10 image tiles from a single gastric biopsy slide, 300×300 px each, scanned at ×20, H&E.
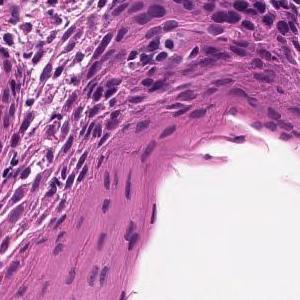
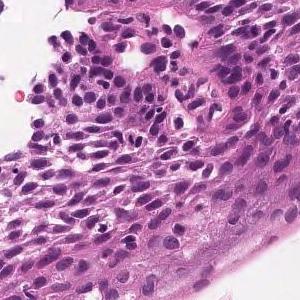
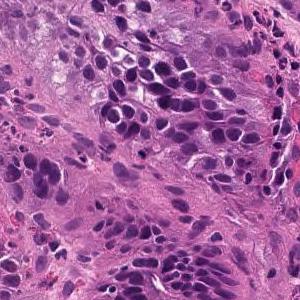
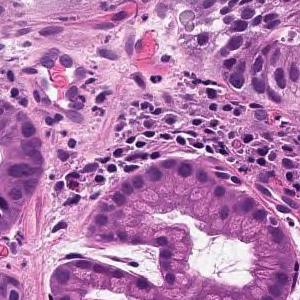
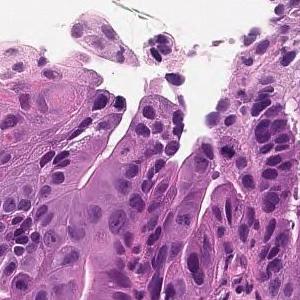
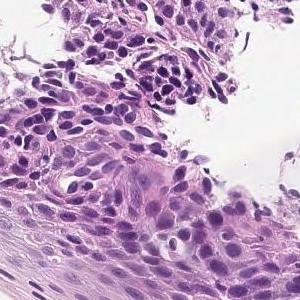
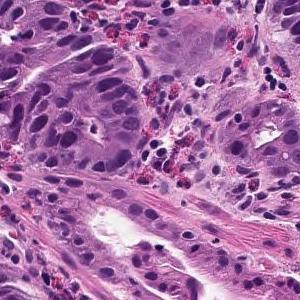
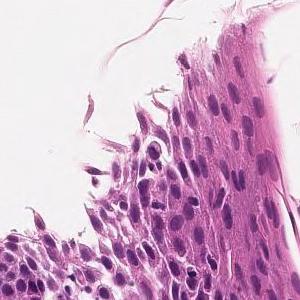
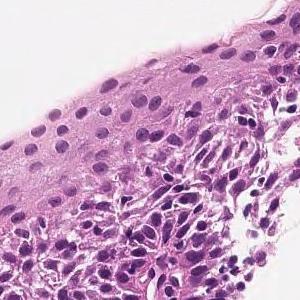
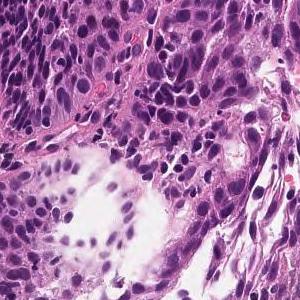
The pathologist's report on the biopsy slide these tiles were taken from. The findings and the diagnosis refer to the entire slide; these tiles show only part of it, possibly with non-tumor tissue, and may not show every feature named.
On the superficial epithelium, tumor tissue is found in which medium-sized irregular gland ducts fuse with each other and infiltrate. moderately differentiated tubular adenocarcinoma
